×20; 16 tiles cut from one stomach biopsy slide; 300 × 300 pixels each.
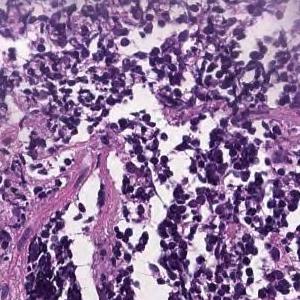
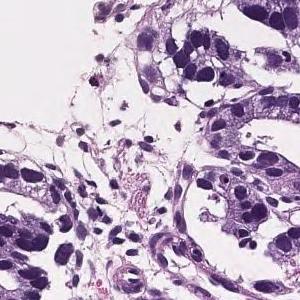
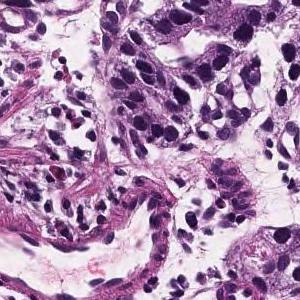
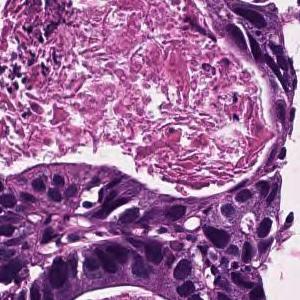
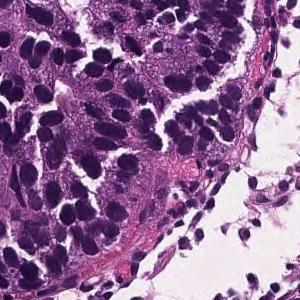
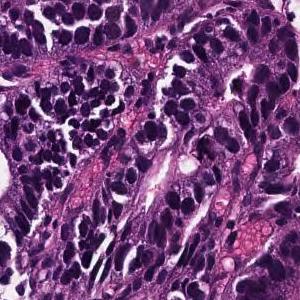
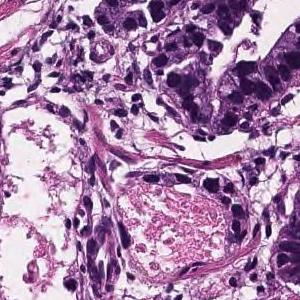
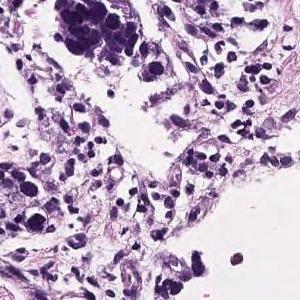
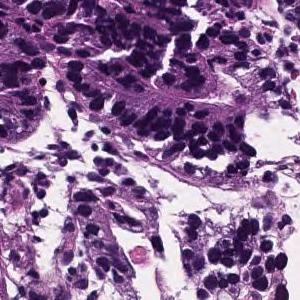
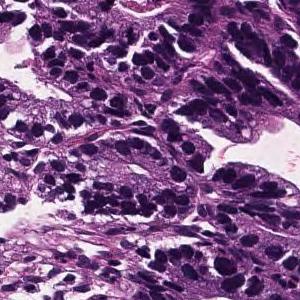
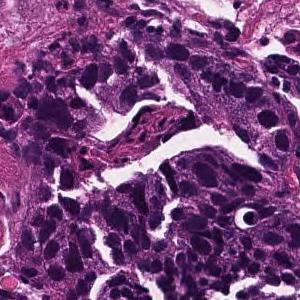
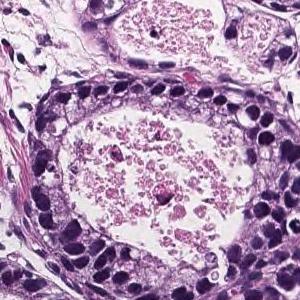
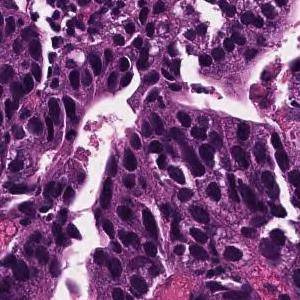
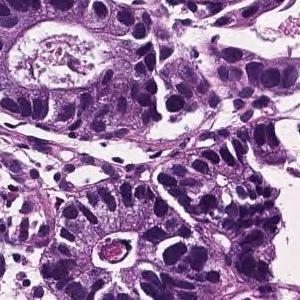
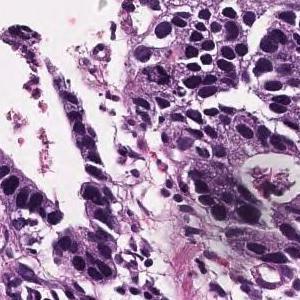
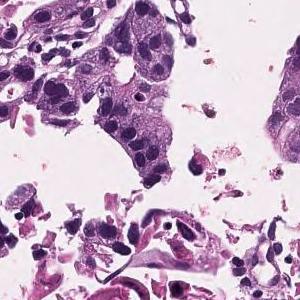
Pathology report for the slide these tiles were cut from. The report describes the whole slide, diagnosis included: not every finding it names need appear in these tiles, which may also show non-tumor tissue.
In the superficial epithelium, tumor tissue that invades by forming medium-sized to small, irregular ducts is observed. Well differentiated tubular adenocarcinoma.
